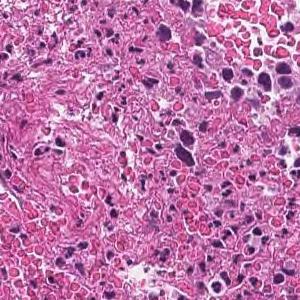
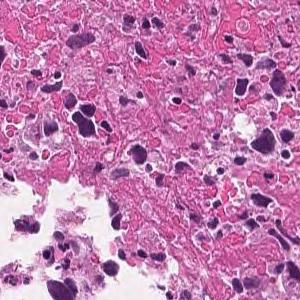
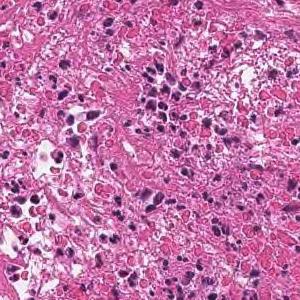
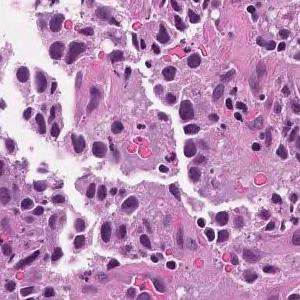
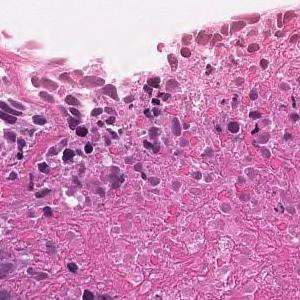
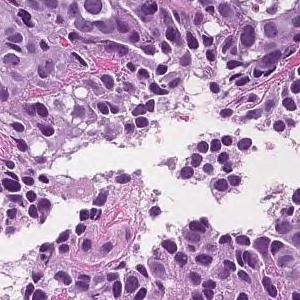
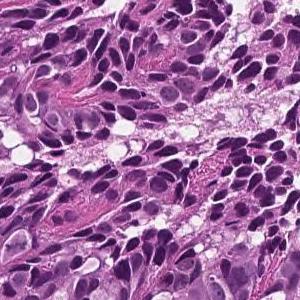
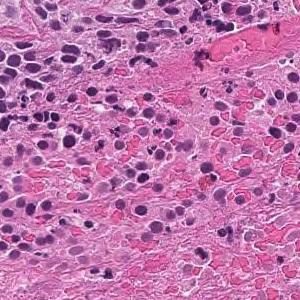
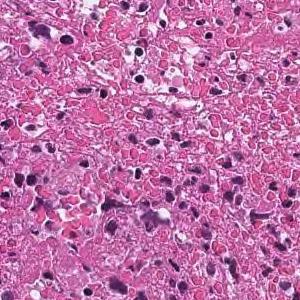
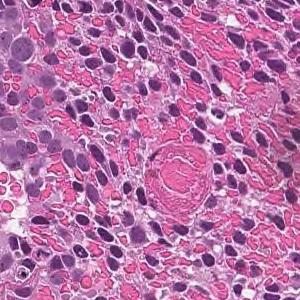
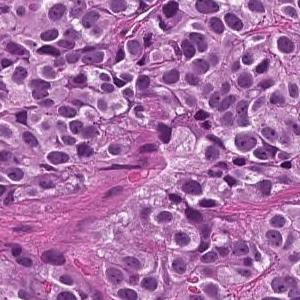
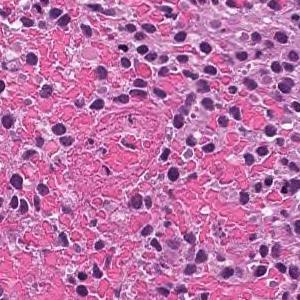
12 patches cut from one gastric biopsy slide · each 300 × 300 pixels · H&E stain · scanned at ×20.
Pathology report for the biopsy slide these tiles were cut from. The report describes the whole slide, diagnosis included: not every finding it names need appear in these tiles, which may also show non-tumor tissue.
The superficial epithelium shows a large sheet-like shape, and some tumor tissue infiltrates with small irregular ducts. Poorly differentiated adenocarcinoma, solid-type
Subtype: Poorly differentiated adenocarcinoma, solid type (Japanese Classification of Gastric Carcinoma). The WHO 2019 equivalent is tubular adenocarcinoma, poorly differentiated.
